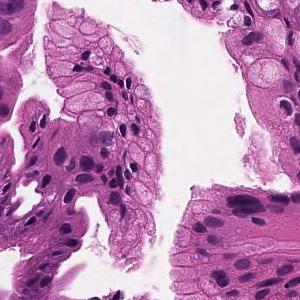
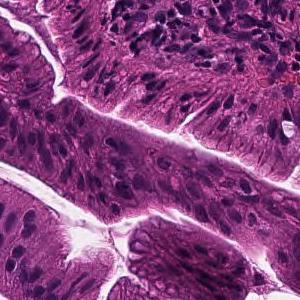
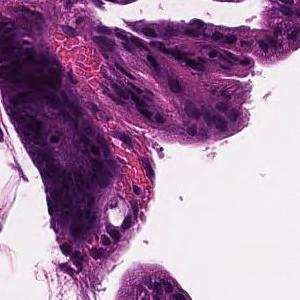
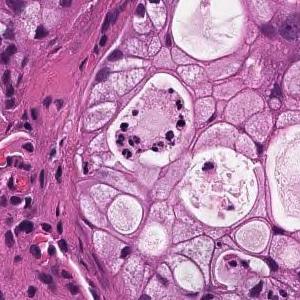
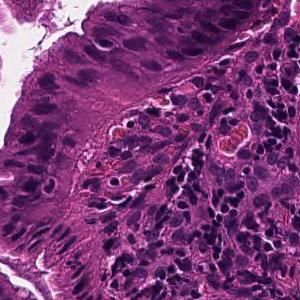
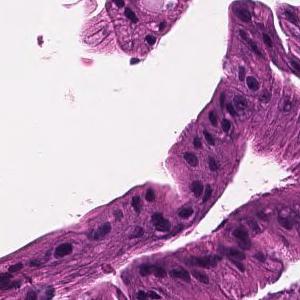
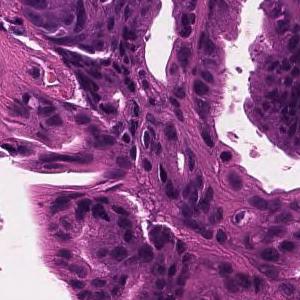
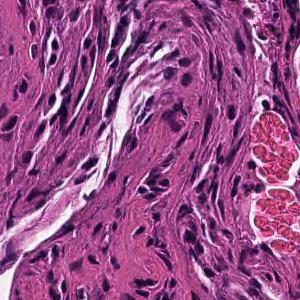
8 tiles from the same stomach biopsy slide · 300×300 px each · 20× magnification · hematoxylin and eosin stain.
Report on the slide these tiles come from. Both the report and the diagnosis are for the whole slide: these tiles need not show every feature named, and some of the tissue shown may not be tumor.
Tumor cells are large, highly columnar, large club-shaped nuclei, and are associated with chromatin aggregation. Papillary adenocarcinoma.
